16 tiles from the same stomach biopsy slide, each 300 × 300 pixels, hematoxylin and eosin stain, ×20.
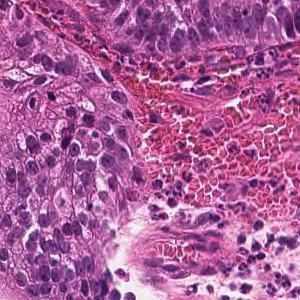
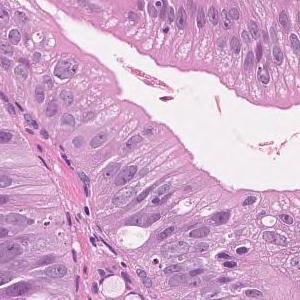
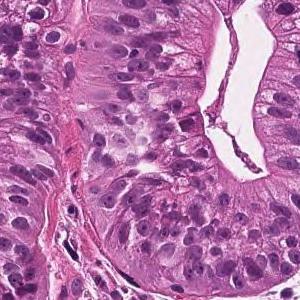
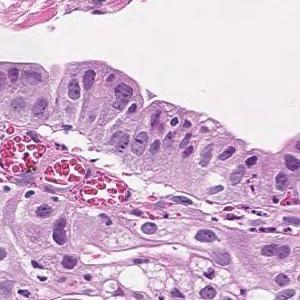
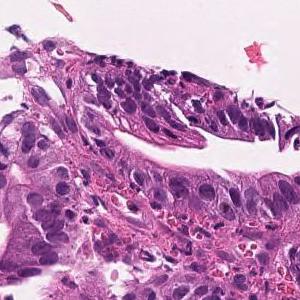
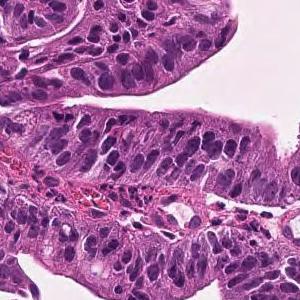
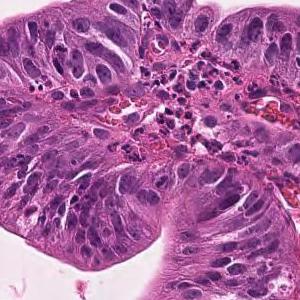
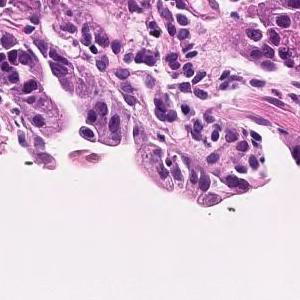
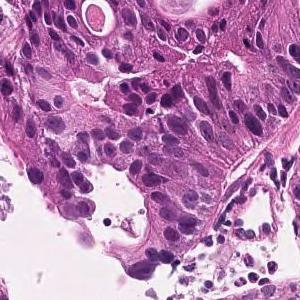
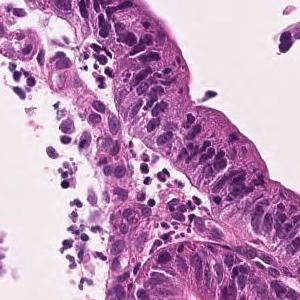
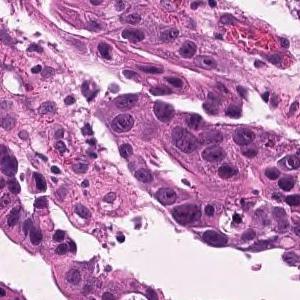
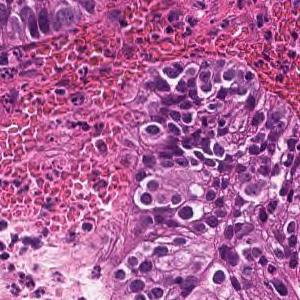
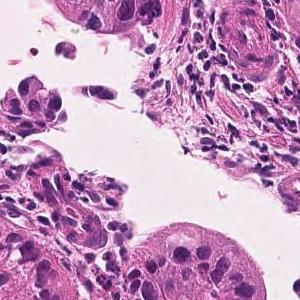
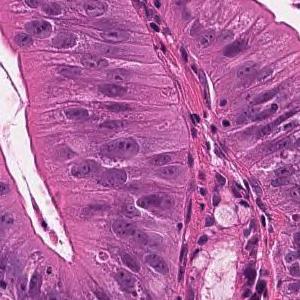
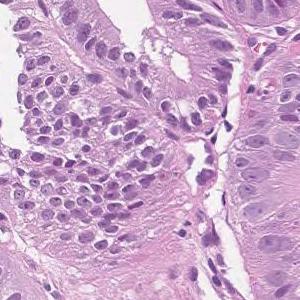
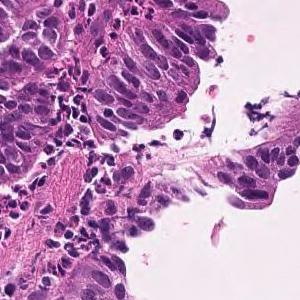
Pathology report for the slide these tiles were cut from. What the report and the diagnosis say applies to the whole slide; these tiles may miss some of the features named and may include tissue that is not tumor.
Tumor cells are large, highly columnar, large club-shaped nuclei, and are associated with chromatin aggregation. Papillary adenocarcinoma.
